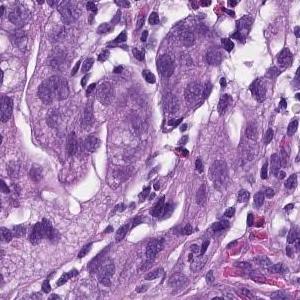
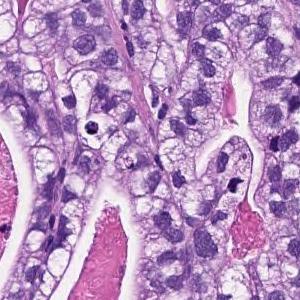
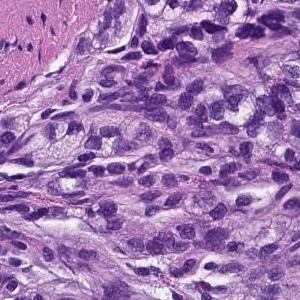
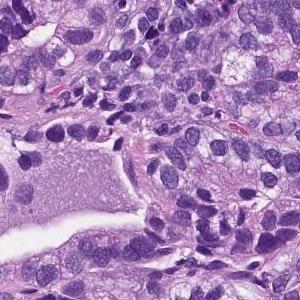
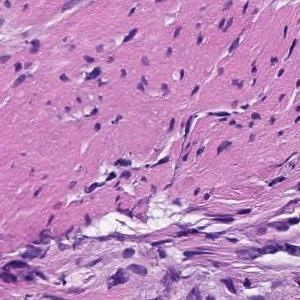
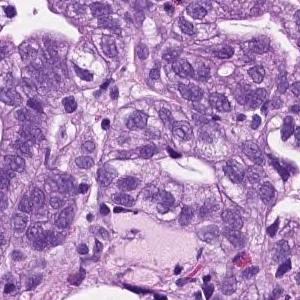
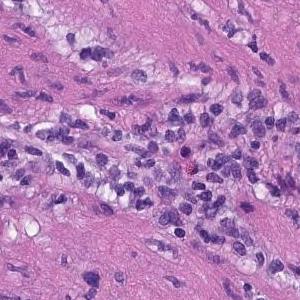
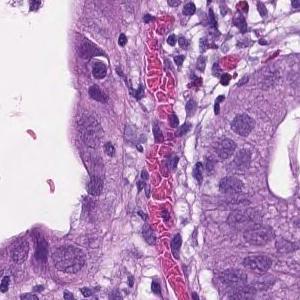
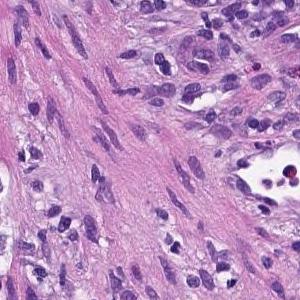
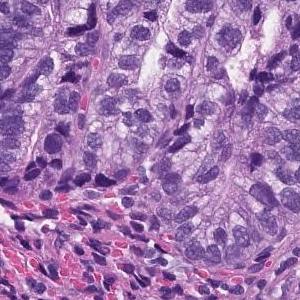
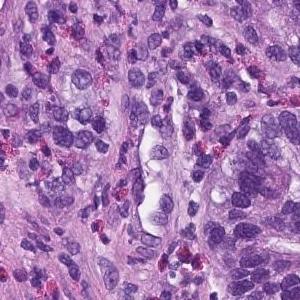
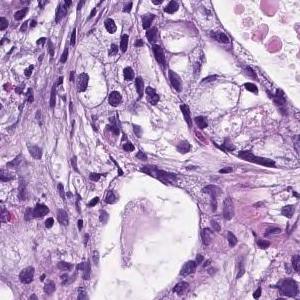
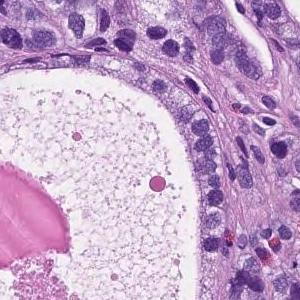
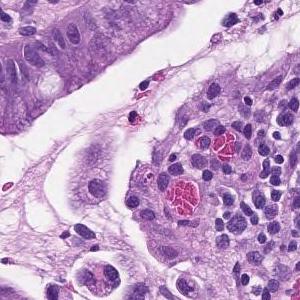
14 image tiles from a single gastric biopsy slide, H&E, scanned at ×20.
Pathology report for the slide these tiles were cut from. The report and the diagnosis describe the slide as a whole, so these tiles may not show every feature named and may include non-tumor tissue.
From the superficial epithelium to the muscularis mucosae, tumor tissue consisting of medium-sized and irregular glandular ducts infiltrating is observed. Well differentiated tubular adenocarcinoma
